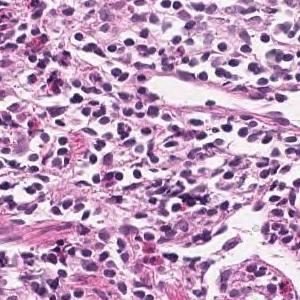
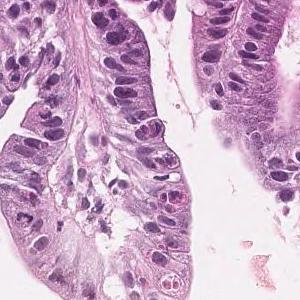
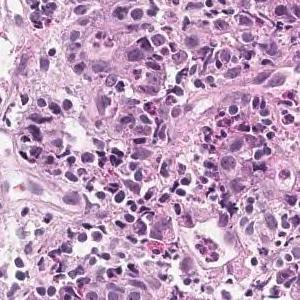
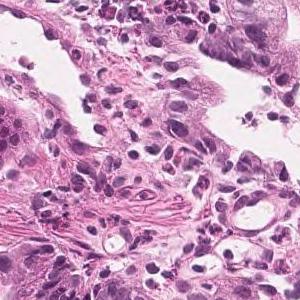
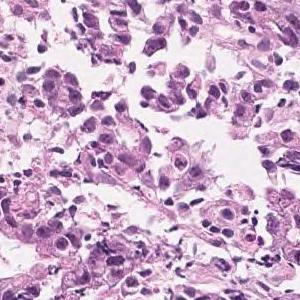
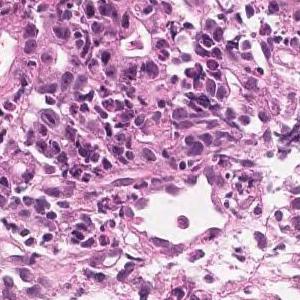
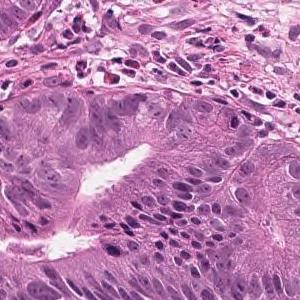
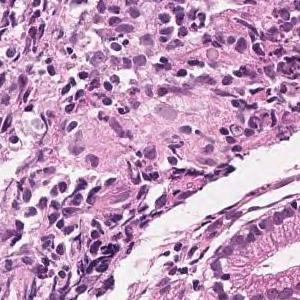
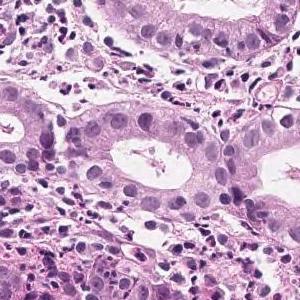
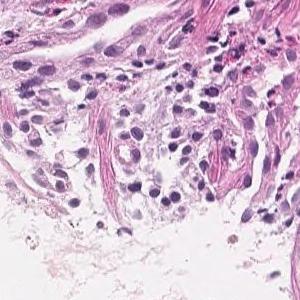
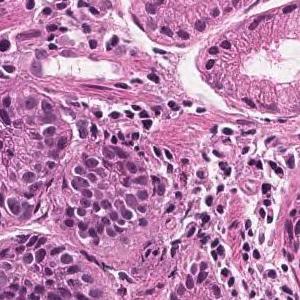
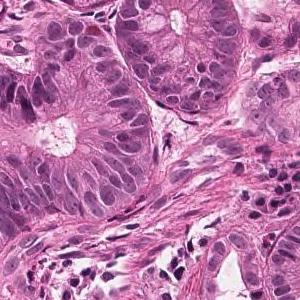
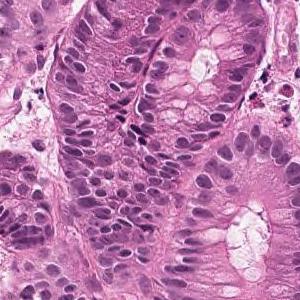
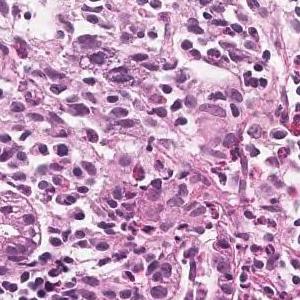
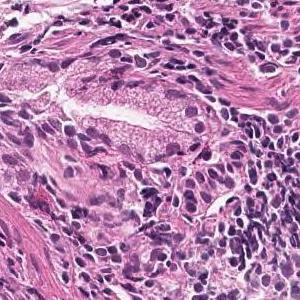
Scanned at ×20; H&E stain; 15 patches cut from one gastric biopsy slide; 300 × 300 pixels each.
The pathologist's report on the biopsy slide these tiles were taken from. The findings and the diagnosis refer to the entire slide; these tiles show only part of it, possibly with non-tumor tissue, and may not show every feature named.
On the superficial epithelium, tumor tissue consisting of large, irregular glandular ducts partially fused and infiltrated is observed. Well to moderately differentiated tubular adenocarcinoma (well differentiated tubular adenocarcinoma, moderately differentiated tubular adenocarcinoma)
Subtype: Well to moderately differentiated tubular adenocarcinoma.
